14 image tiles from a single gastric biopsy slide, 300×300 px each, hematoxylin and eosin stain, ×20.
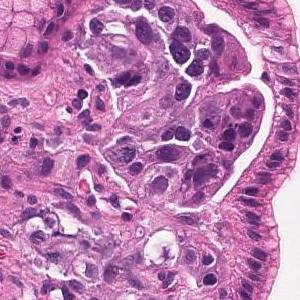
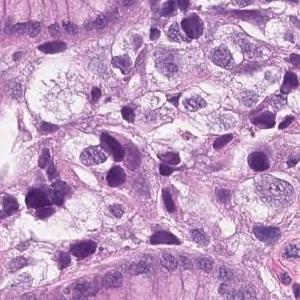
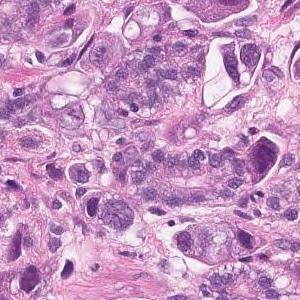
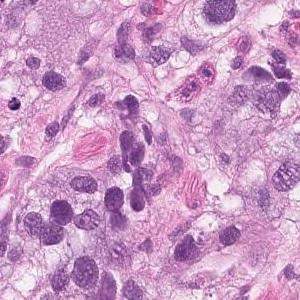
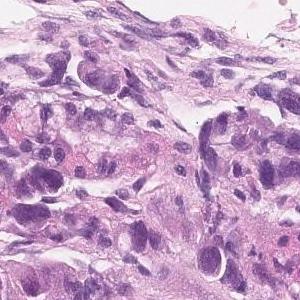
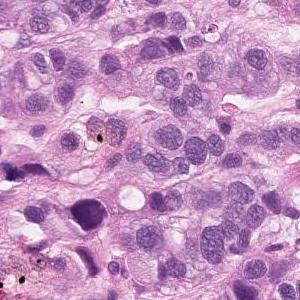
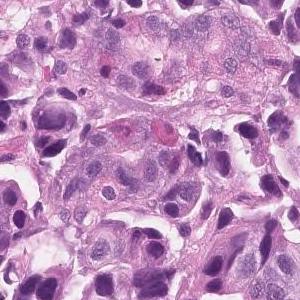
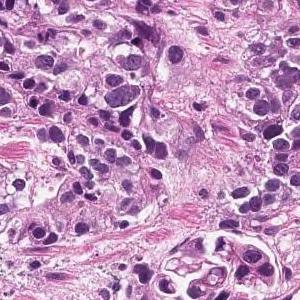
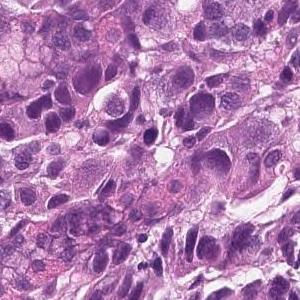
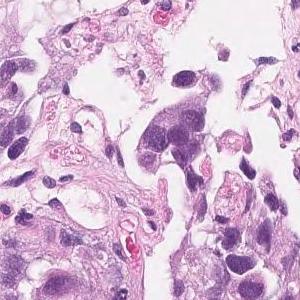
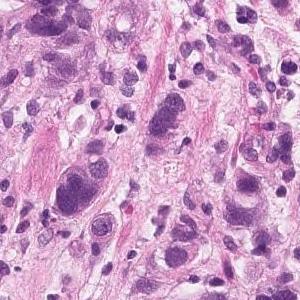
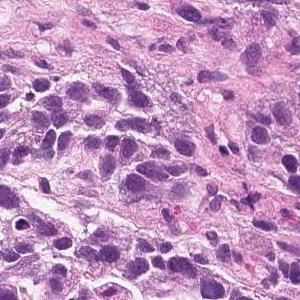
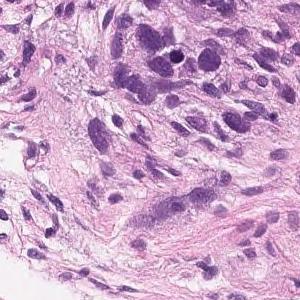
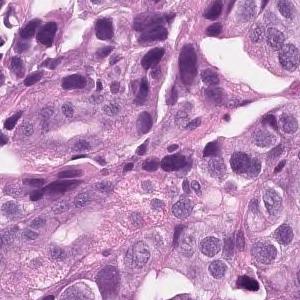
Diagnostic report for the slide these tiles come from. The findings and the diagnosis refer to the entire slide; these tiles show only part of it, possibly with non-tumor tissue, and may not show every feature named.
Tumor tissue that infiltrates the epithelium in an alveolar manner. Poorly differentiated adenocarcinoma, solid-type
Histological subtype: Poorly differentiated adenocarcinoma, solid type, a category of the Japanese Classification of Gastric Carcinoma; in the WHO 2019 classification it is tubular adenocarcinoma, poorly differentiated.
